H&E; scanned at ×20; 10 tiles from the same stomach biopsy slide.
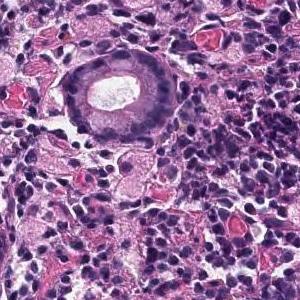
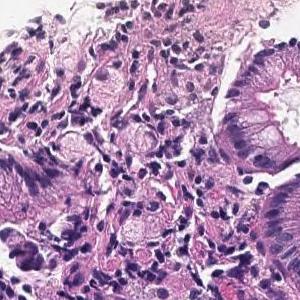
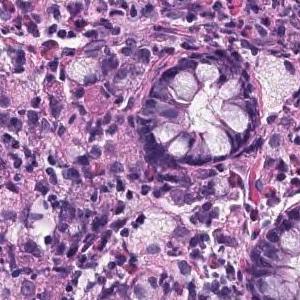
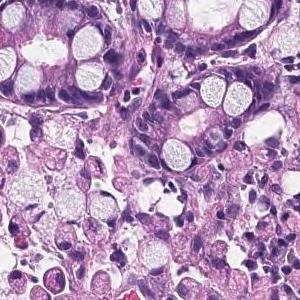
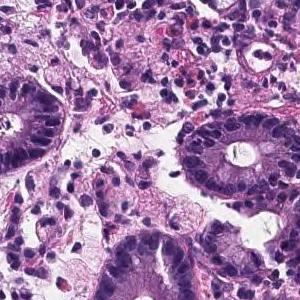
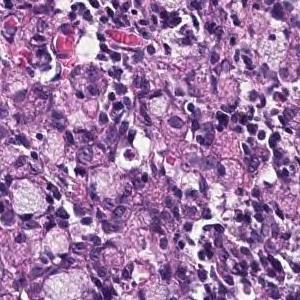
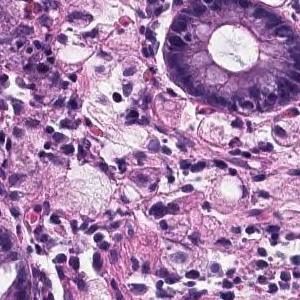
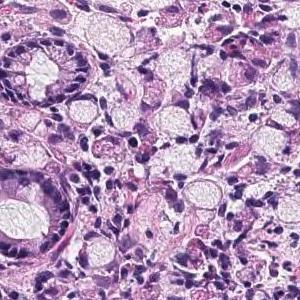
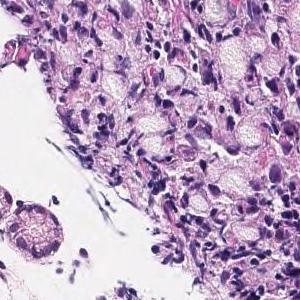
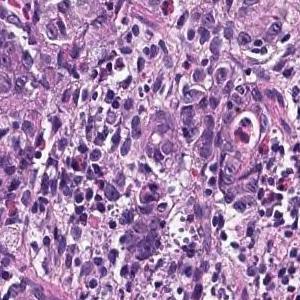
Report on the slide these tiles come from. The findings and the diagnosis refer to the entire slide; these tiles show only part of it, possibly with non-tumor tissue, and may not show every feature named.
A tumor tissue consisting of signet ring cell carcinoma cells is observed in the lamina propria. Signet ring cell carcinoma.
